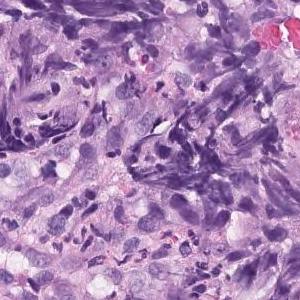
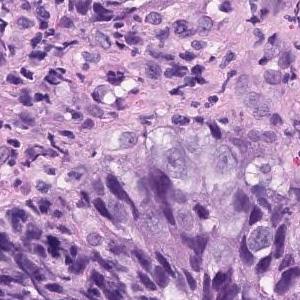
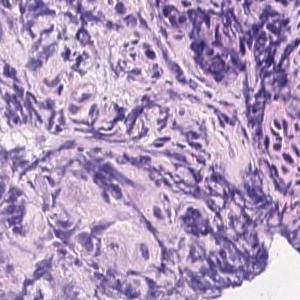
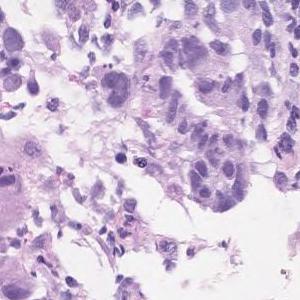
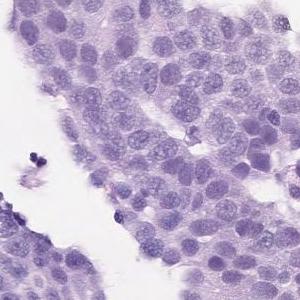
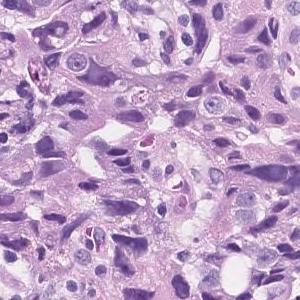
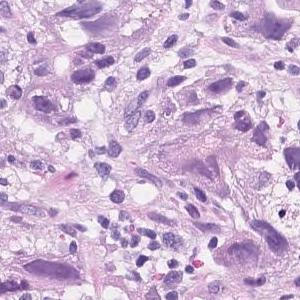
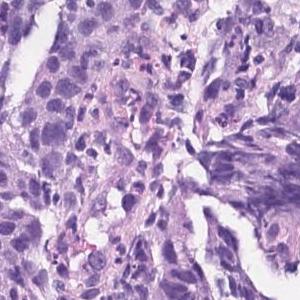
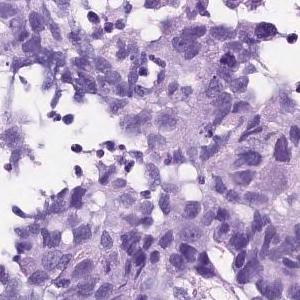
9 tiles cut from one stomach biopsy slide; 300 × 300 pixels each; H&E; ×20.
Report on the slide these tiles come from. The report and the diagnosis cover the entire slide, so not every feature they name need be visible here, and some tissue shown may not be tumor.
Atypical epithelial cells infiltrating and proliferating diffusely or while forming vesicles is observed. Poorly differentiated adenocarcinoma (poorly differentiated adenocarcinoma, solid type moderately differentiated tubular adenocarcinoma)
Labeled in the dataset as poorly differentiated adenocarcinoma, solid type. This name comes from the Japanese Classification of Gastric Carcinoma; the WHO 2019 classification calls it tubular adenocarcinoma, poorly differentiated.
